13 tiles from the same stomach biopsy slide, H&E.
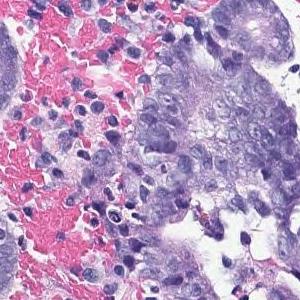
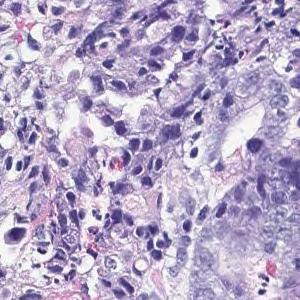
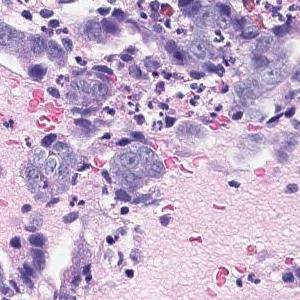
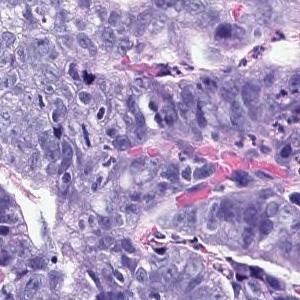
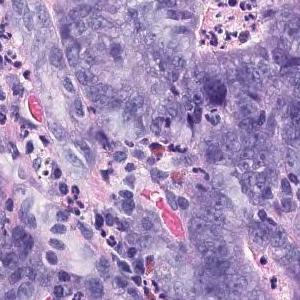
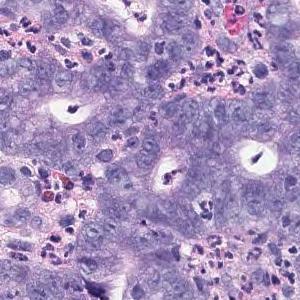
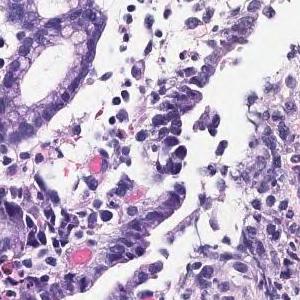
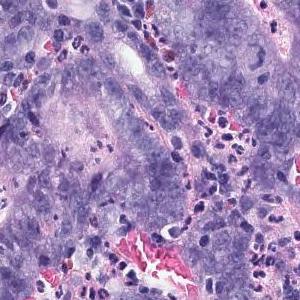
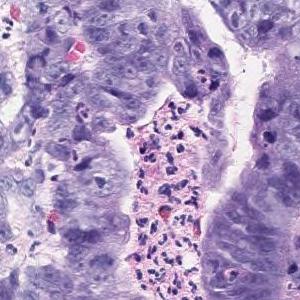
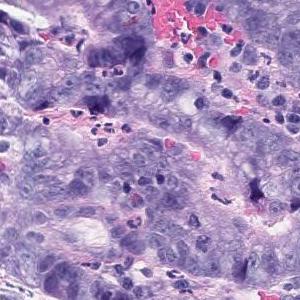
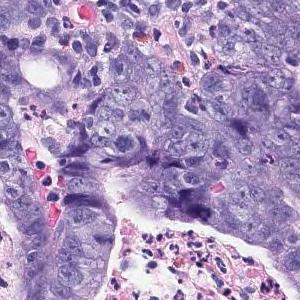
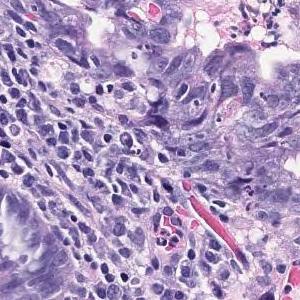
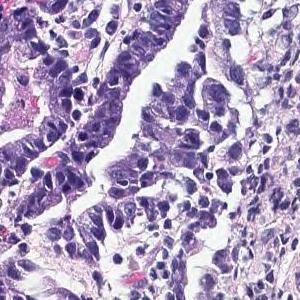
Diagnostic report for the slide these tiles come from. The report describes the whole slide, diagnosis included: not every finding it names need appear in these tiles, which may also show non-tumor tissue.
In the superficial epithelium, tumor tissue that invades by forming medium-sized to small, irregular ducts is observed. Moderately differentiated adenocarcinoma.
Tumor subtype: moderately differentiated tubular adenocarcinoma.
